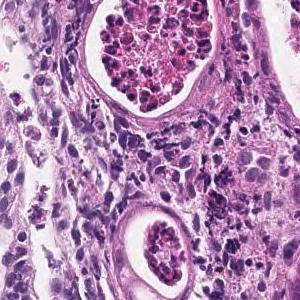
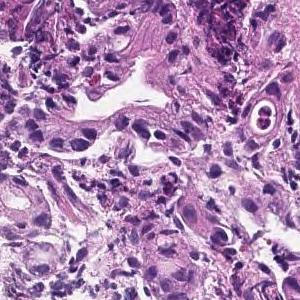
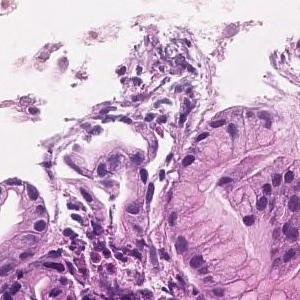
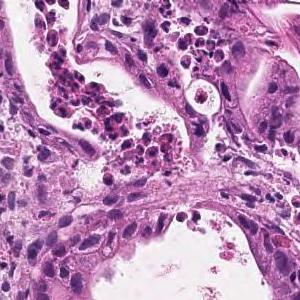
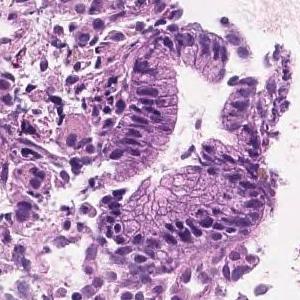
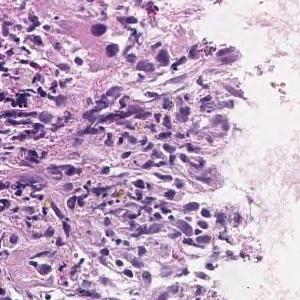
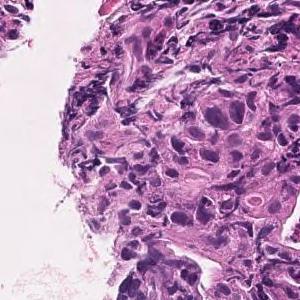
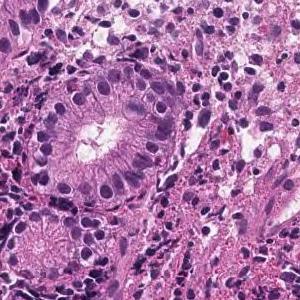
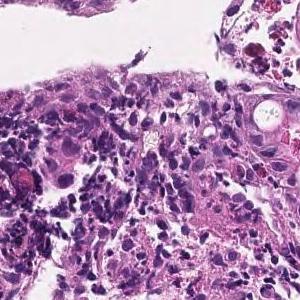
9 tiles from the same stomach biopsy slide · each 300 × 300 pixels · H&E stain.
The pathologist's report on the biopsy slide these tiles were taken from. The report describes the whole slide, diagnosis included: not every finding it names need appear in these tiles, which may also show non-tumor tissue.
In the superficial epithelium, tumor tissue that invades by forming medium-sized to small, irregular ducts is observed. moderately differentiated tubular adenocarcinoma.
